12 tiles cut from one stomach biopsy slide · 300×300 px each · H&E stain.
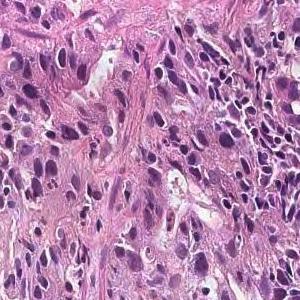
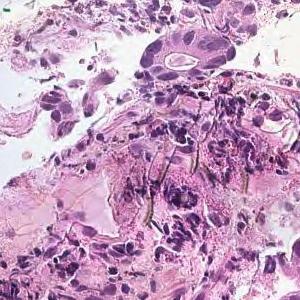
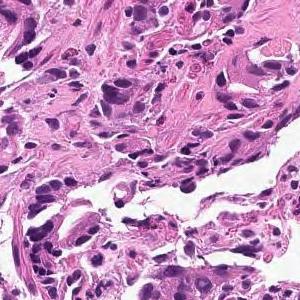
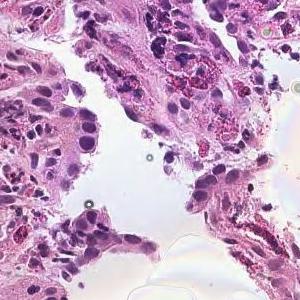
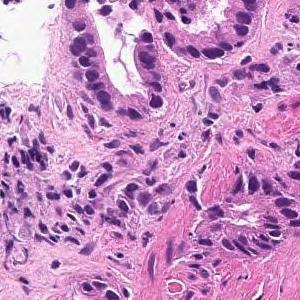
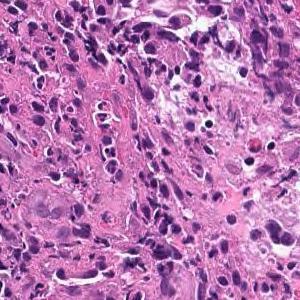
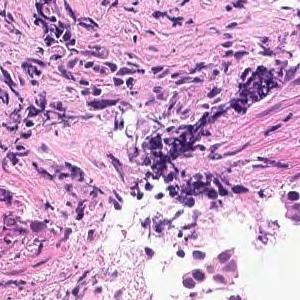
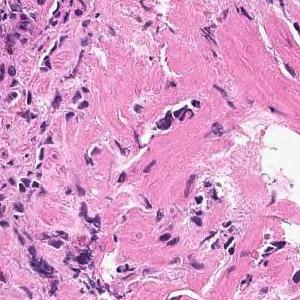
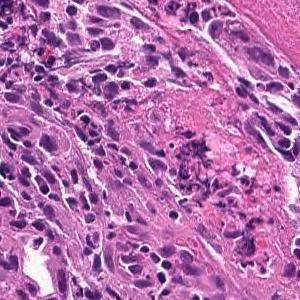
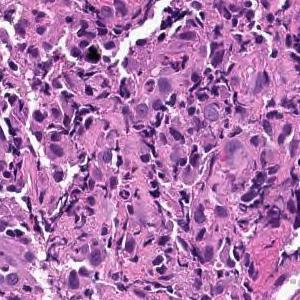
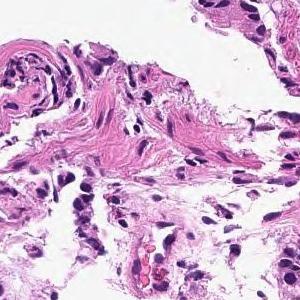
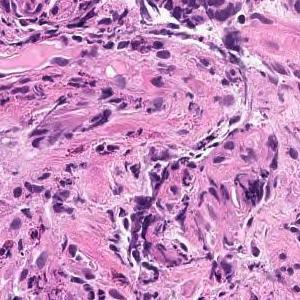
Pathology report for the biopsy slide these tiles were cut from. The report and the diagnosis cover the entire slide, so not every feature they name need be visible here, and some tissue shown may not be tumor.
On the superficial epithelium, tumor tissue consisting of large irregular glandular ducts partially fused and infiltrated is observed. Well to moderately differentiated tubular adenocarcinoma (well differentiated tubular adenocarcinoma, moderately differentiated tubular adenocarcinoma)
Tumor subtype: well to moderately differentiated tubular adenocarcinoma.
